Hematoxylin and eosin stain; 20× magnification; 8 tiles cut from one stomach biopsy slide; each 300 × 300 pixels.
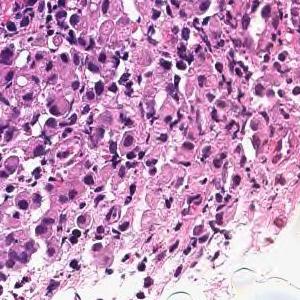
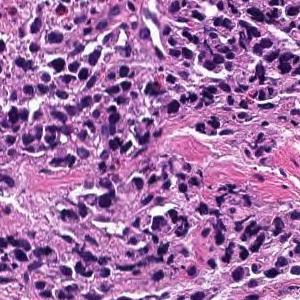
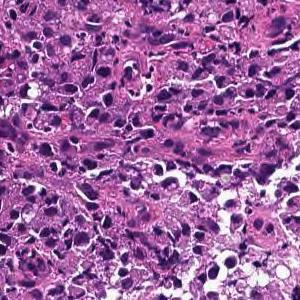
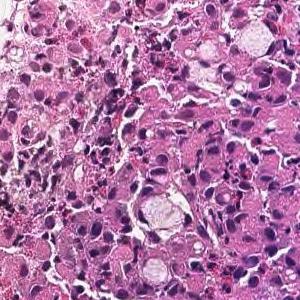
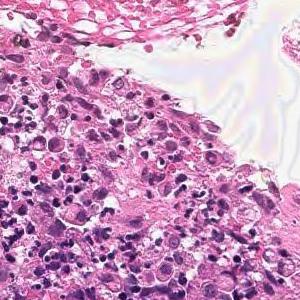
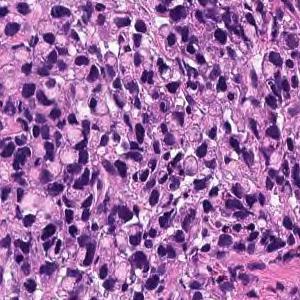
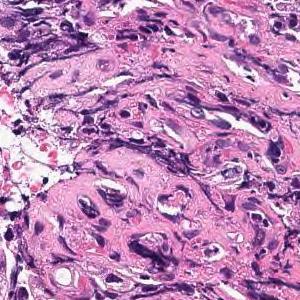
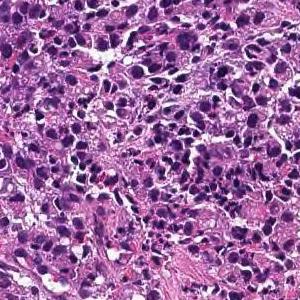
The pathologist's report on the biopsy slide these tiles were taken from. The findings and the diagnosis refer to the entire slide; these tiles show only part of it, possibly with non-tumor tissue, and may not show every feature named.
Tumor tissue consisting of diffusely infiltrated large atypical epithelial cells or signet ring atypical cells is observed in the superficial epithelium. Poorly differentiated adenocarcinoma, solid-type
Histologic type: Poorly differentiated adenocarcinoma, solid type. This name comes from the Japanese Classification of Gastric Carcinoma; the WHO 2019 classification calls it tubular adenocarcinoma, poorly differentiated.
